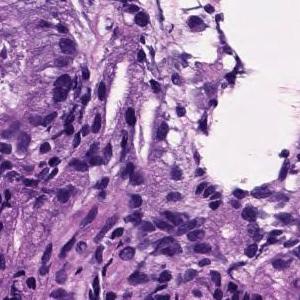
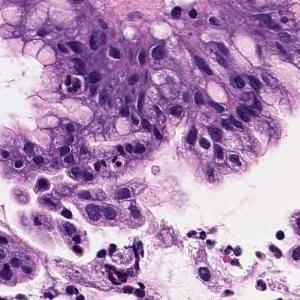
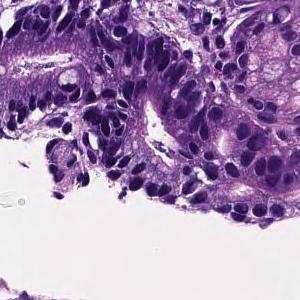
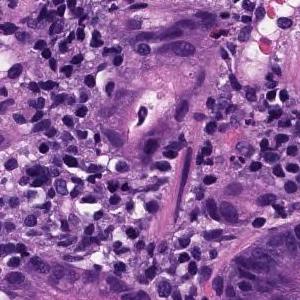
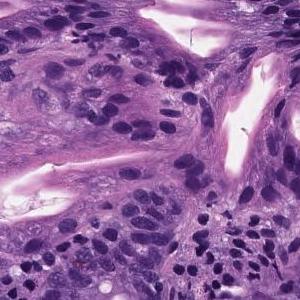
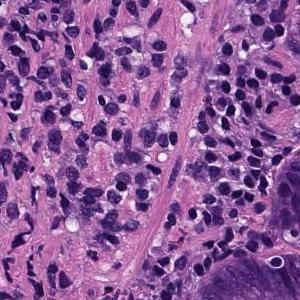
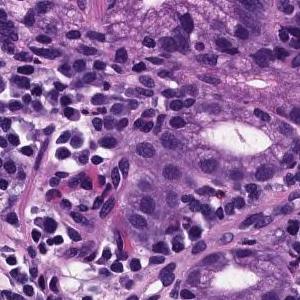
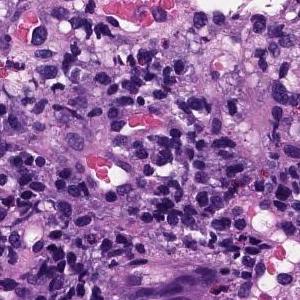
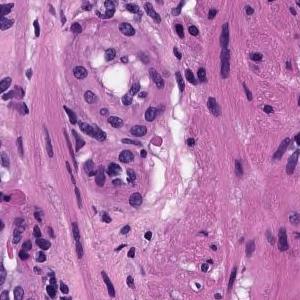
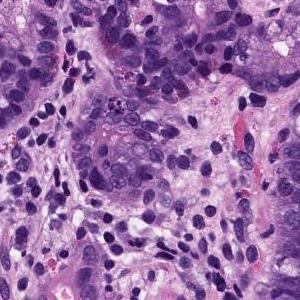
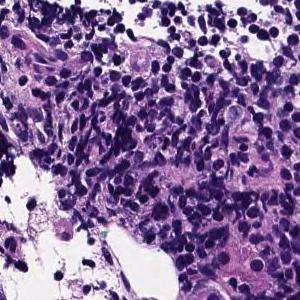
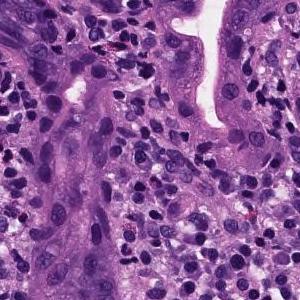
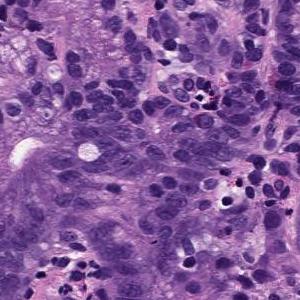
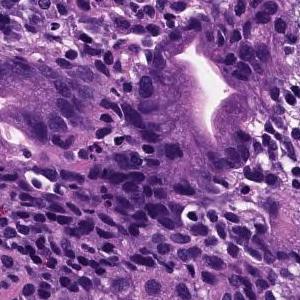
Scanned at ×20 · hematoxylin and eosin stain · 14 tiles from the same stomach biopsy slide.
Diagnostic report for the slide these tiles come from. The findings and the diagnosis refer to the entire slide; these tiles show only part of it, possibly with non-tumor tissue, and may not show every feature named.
Medium to small, irregular glandular ducts are formed in the superficial epithelium, and in some cases, the glandular ducts are fused to show solid alveolar lesions and infiltrating tumor tissue is observed. Moderately to poorly differentiated adenocarcinoma.
